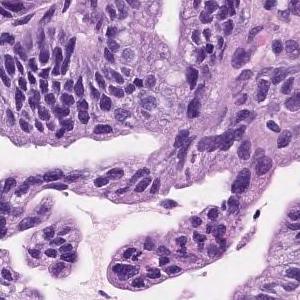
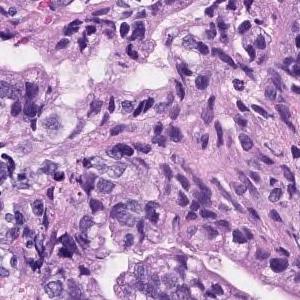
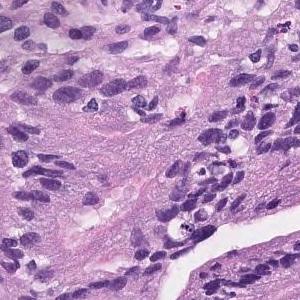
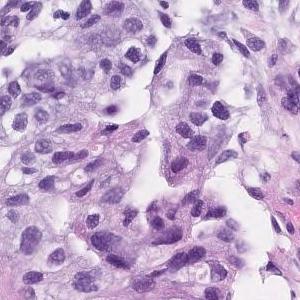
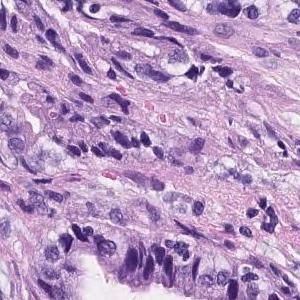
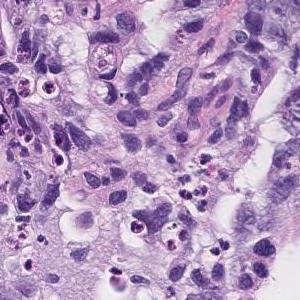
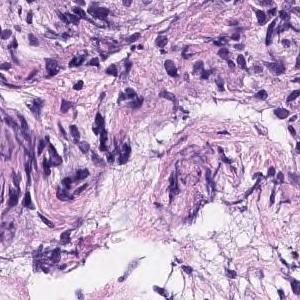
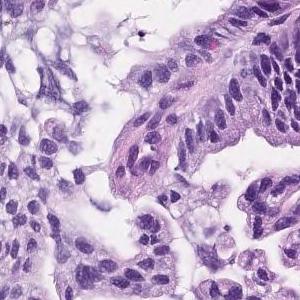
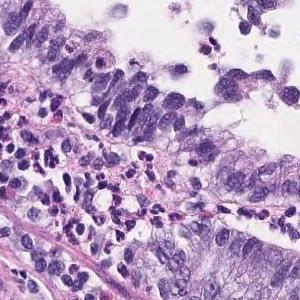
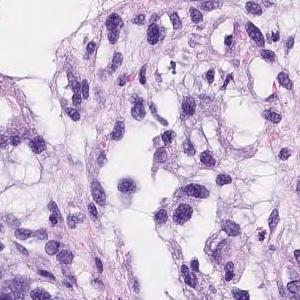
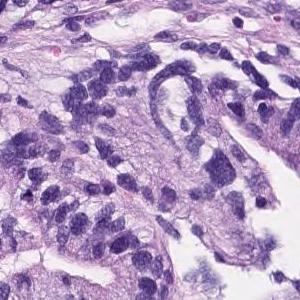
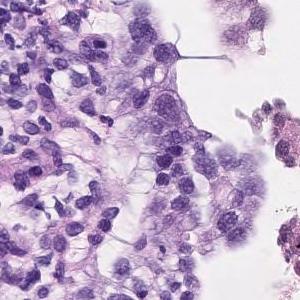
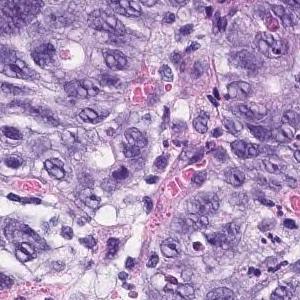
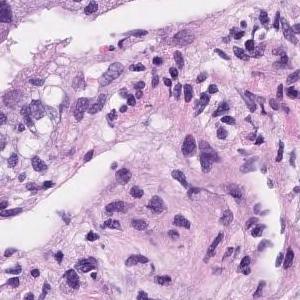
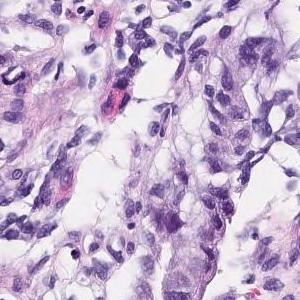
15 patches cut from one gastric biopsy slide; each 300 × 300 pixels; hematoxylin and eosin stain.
Pathology report for the slide these tiles were cut from. Both the report and the diagnosis are for the whole slide: these tiles need not show every feature named, and some of the tissue shown may not be tumor.
Tumor cells are large, highly columnar, large club-shaped nuclei, and are associated with chromatin aggregation. Papillary adenocarcinoma.
